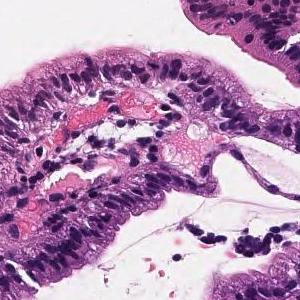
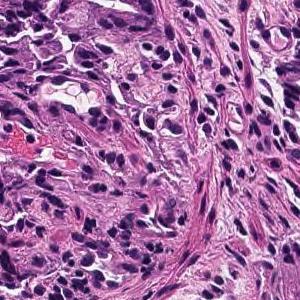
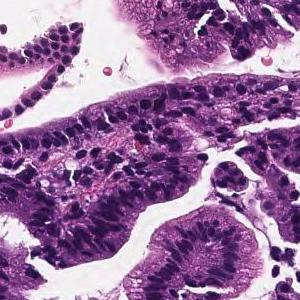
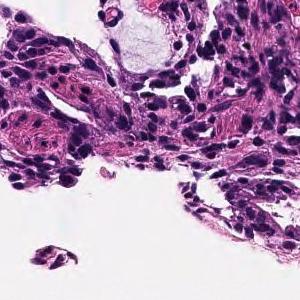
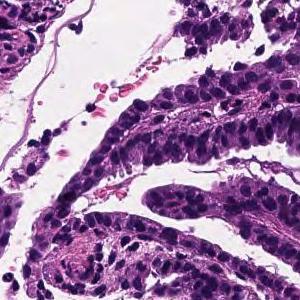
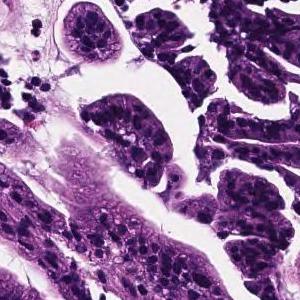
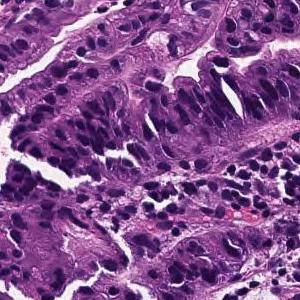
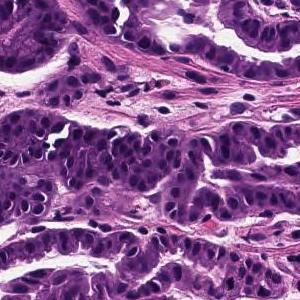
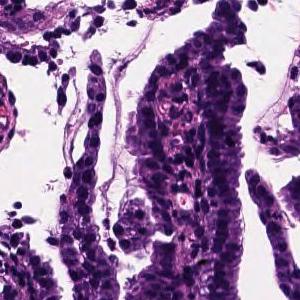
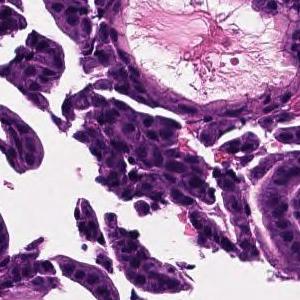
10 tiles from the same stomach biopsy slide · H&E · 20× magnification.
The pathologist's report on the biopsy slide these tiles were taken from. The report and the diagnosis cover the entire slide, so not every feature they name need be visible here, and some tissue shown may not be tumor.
On the superficial epithelium, tumor tissue that infiltrates by forming medium-sized papillary or small irregular ducts is observed. Papillary adenocarcinoma
